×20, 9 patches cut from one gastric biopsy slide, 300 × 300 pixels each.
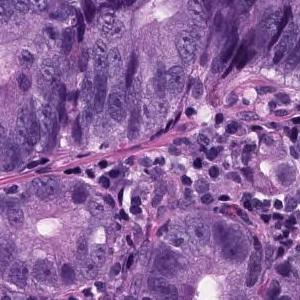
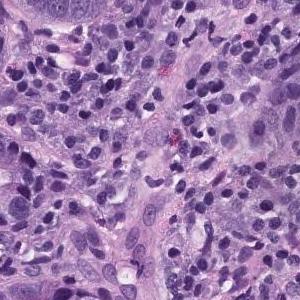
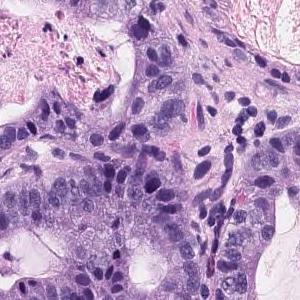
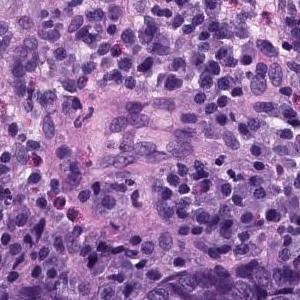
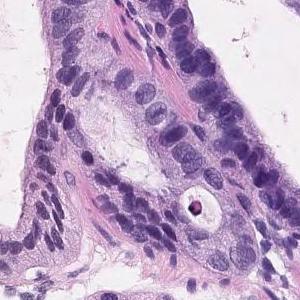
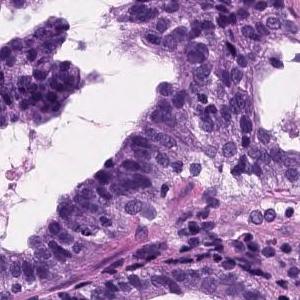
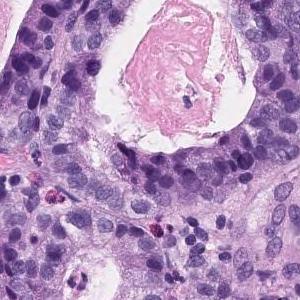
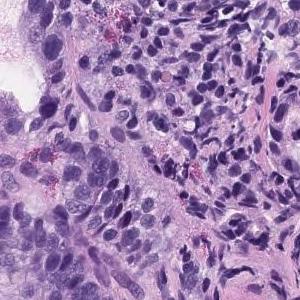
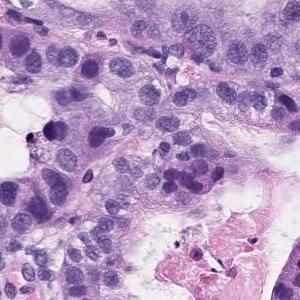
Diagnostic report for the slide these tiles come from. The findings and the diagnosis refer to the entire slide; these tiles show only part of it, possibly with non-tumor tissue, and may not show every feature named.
Tumor tissue consisting of medium-sized and irregular ducts is observed infiltrating in the superficial epithelium. Tumor cells are highly columnar, with nuclei aligned basolaterally and polarized. Well differentiated tubular adenocarcinoma.
